20× magnification; H&E stain; 13 tiles from the same stomach biopsy slide; 300 × 300 pixels each.
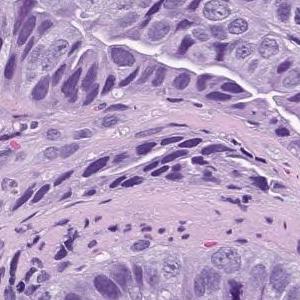
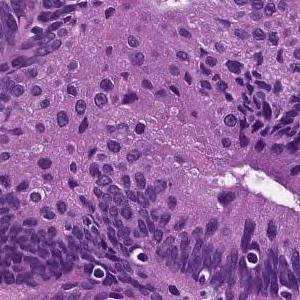
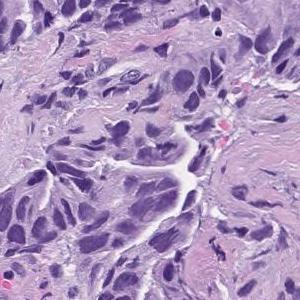
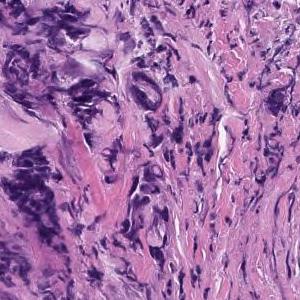
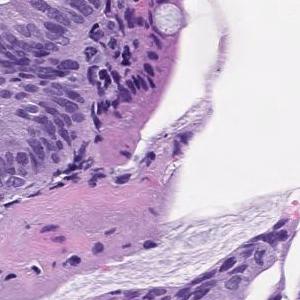
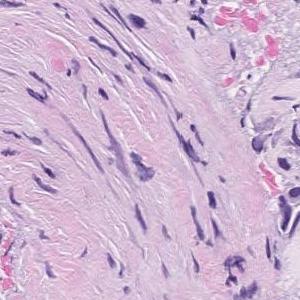
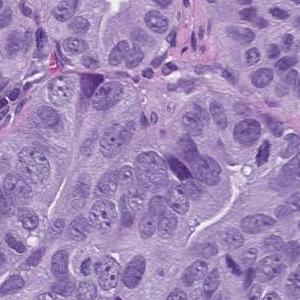
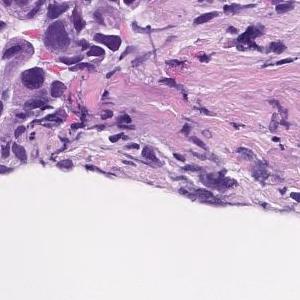
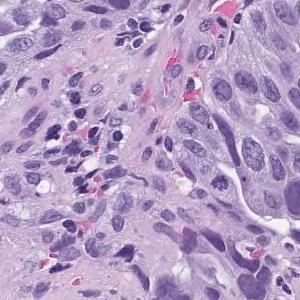
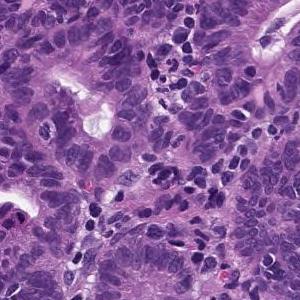
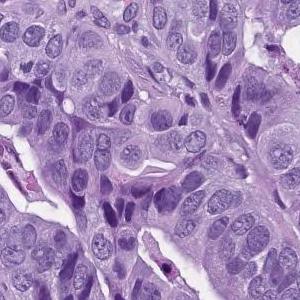
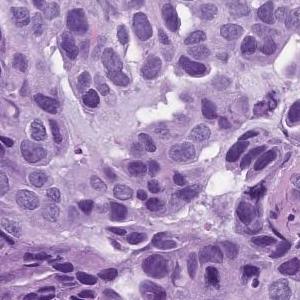
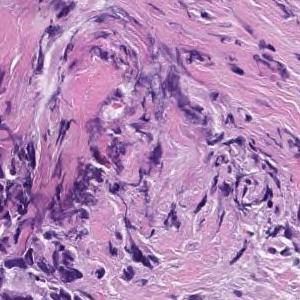
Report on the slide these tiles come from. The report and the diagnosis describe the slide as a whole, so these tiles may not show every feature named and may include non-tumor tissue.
In the superficial epithelium, tumor tissue that invades by forming medium-sized to small, irregular ducts is observed. moderately differentiated tubular adenocarcinoma.
